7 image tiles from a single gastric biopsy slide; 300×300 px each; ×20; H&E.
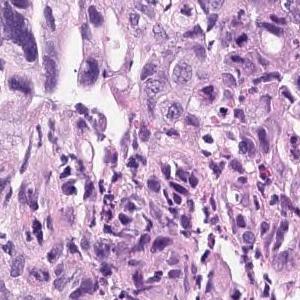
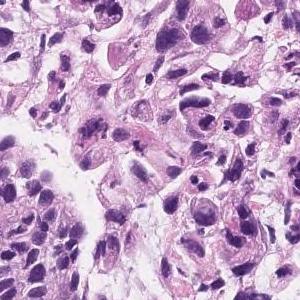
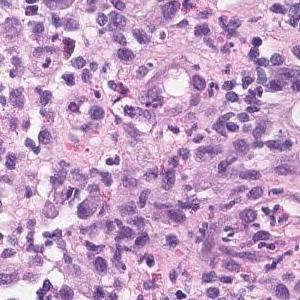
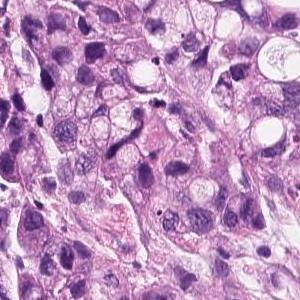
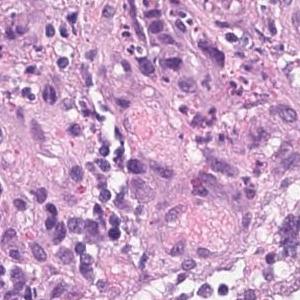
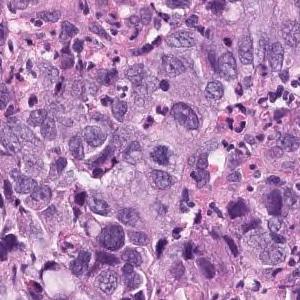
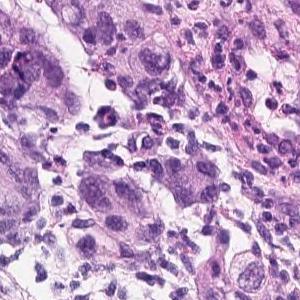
Pathology report for the biopsy slide these tiles were cut from. The report and the diagnosis cover the entire slide, so not every feature they name need be visible here, and some tissue shown may not be tumor.
Group 5, Adenocarcinoma. Poorly differentiated adenocarcinoma, non-solid type
The non-solid type named here is a Japanese Classification of Gastric Carcinoma category.
